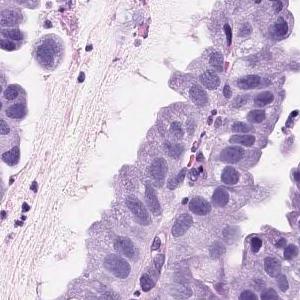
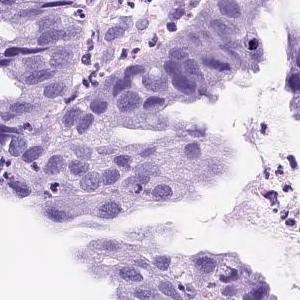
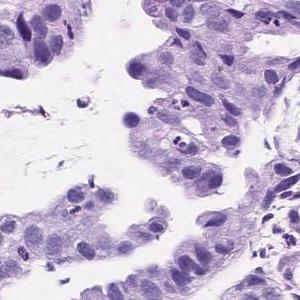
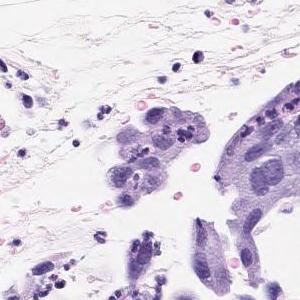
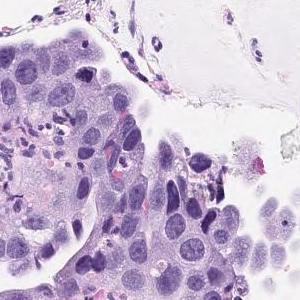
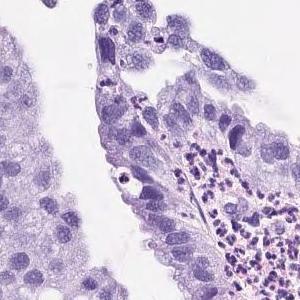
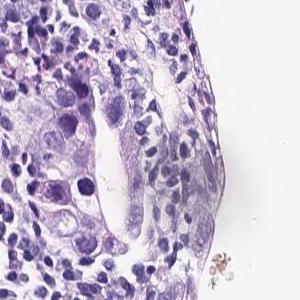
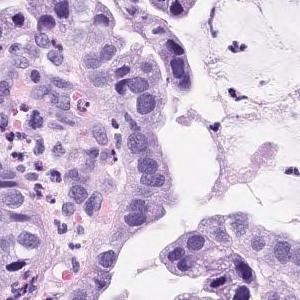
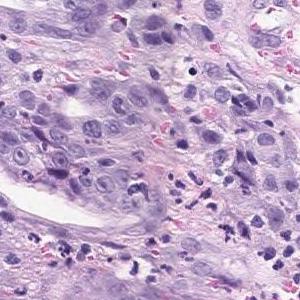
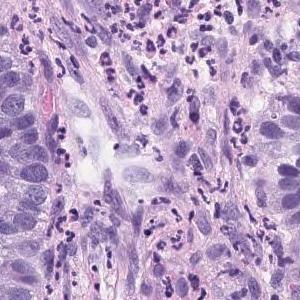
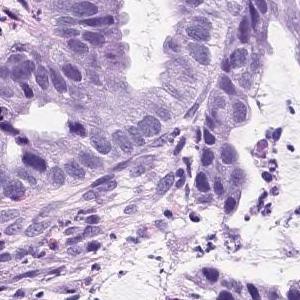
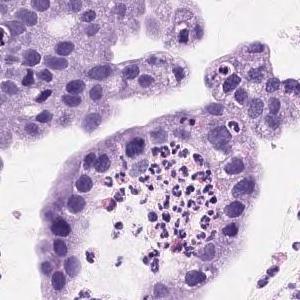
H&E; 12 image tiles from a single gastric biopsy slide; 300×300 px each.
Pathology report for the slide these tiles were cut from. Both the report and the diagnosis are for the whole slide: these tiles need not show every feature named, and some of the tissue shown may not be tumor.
Atypical l cells with atypical nuclei forming solid or diffuse vesicles or small irregular atypical ducts and growing in a complex manner. Well differentiated tubular adenocarcinoma
